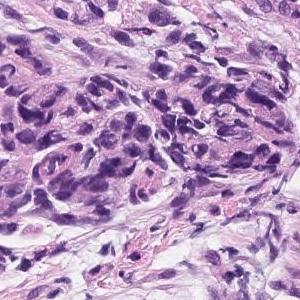
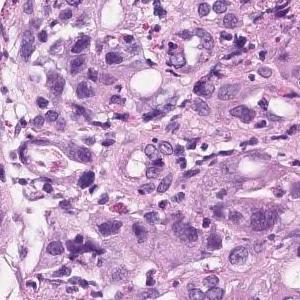
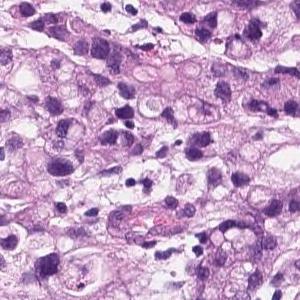
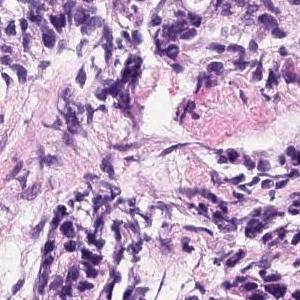
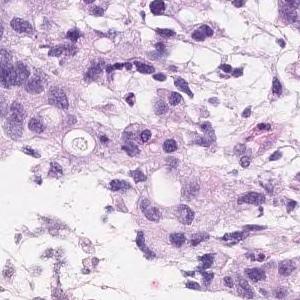
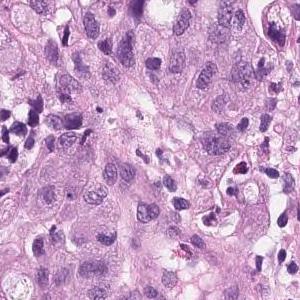
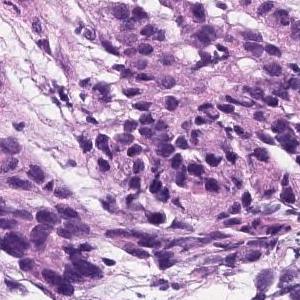
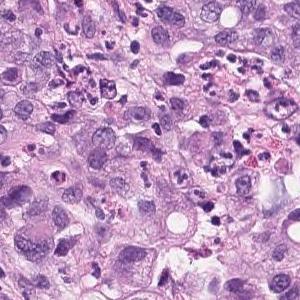
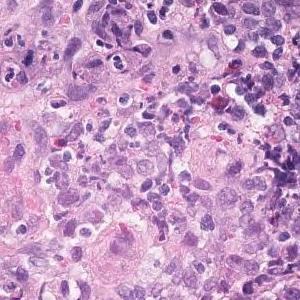
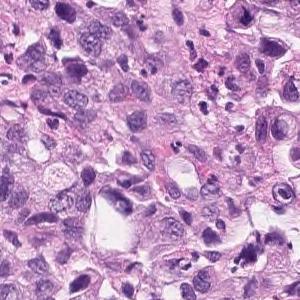
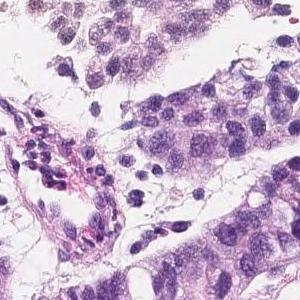
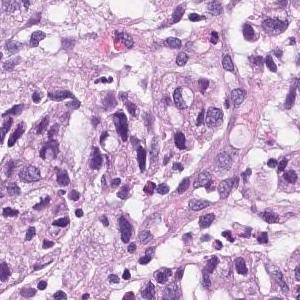
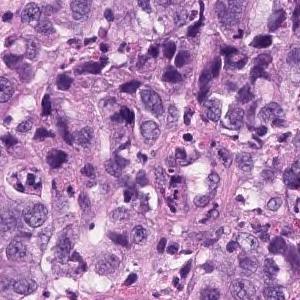
×20, 13 image tiles from a single gastric biopsy slide.
Pathology report for the biopsy slide these tiles were cut from. The report describes the whole slide, diagnosis included: not every finding it names need appear in these tiles, which may also show non-tumor tissue.
Group 5, Adenocarcinoma. Poorly differentiated adenocarcinoma, non-solid type
The non-solid type named here is a Japanese Classification of Gastric Carcinoma category.
